6 image tiles from a single gastric biopsy slide · each 300 × 300 pixels · ×20 · H&E.
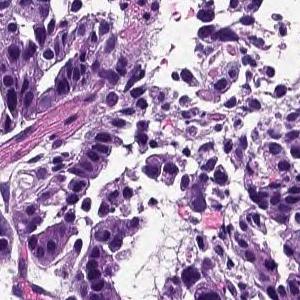
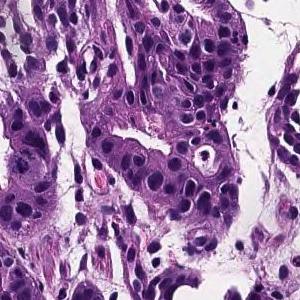
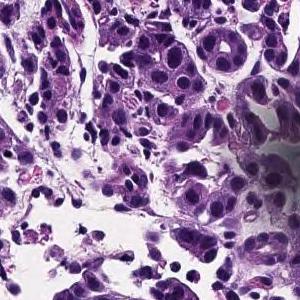
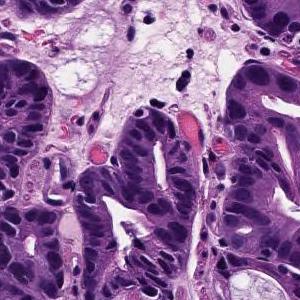
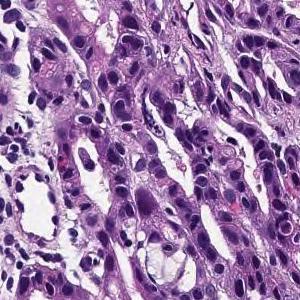
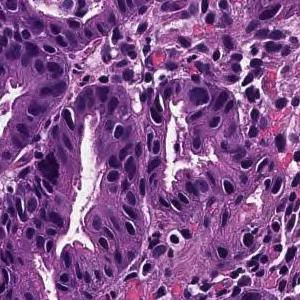
Report on the slide these tiles come from. The report and the diagnosis cover the entire slide, so not every feature they name need be visible here, and some tissue shown may not be tumor.
From the superficial epithelium to the muscularis mucosae, tumor tissue consisting of medium-sized and irregular glandular ducts infiltrating is observed. Well differentiated tubular adenocarcinoma
